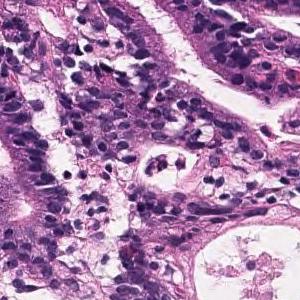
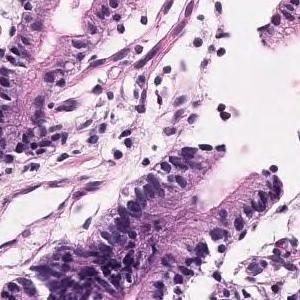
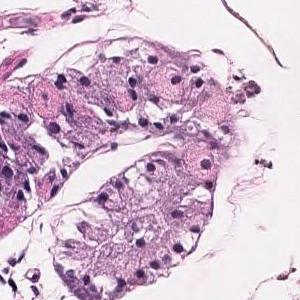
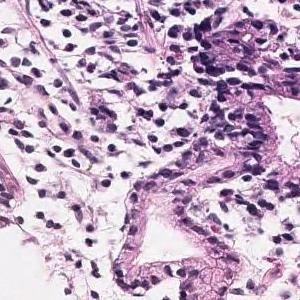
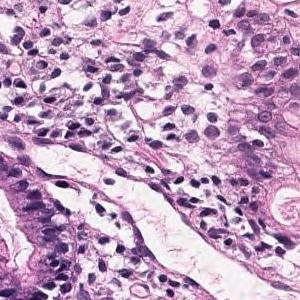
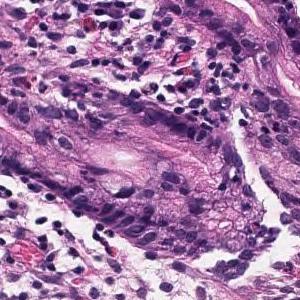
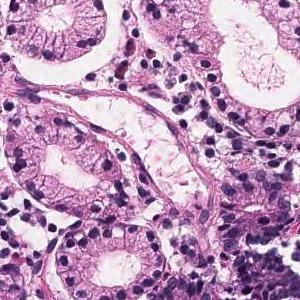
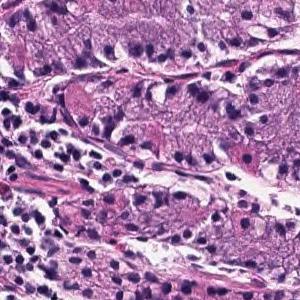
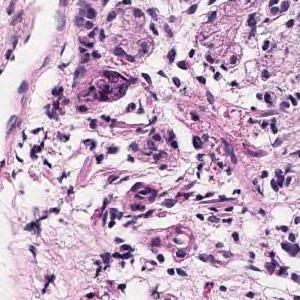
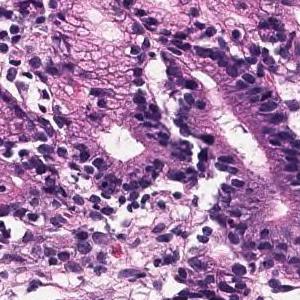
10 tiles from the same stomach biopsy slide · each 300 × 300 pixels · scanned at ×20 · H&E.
Report on the slide these tiles come from. The findings and the diagnosis refer to the entire slide; these tiles show only part of it, possibly with non-tumor tissue, and may not show every feature named.
Tumor tissue that grows and grows is observed, showing a medium-sized round or irregular duct. moderately differentiated tubular adenocarcinoma
